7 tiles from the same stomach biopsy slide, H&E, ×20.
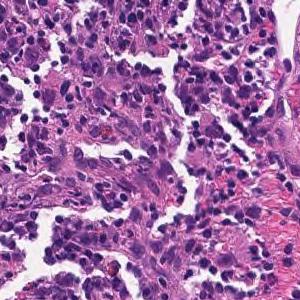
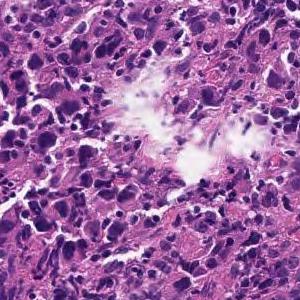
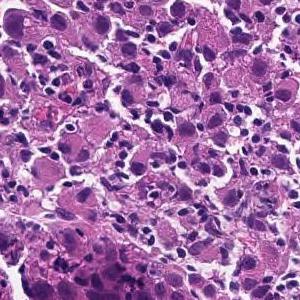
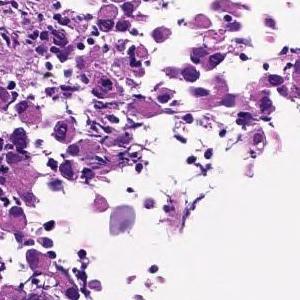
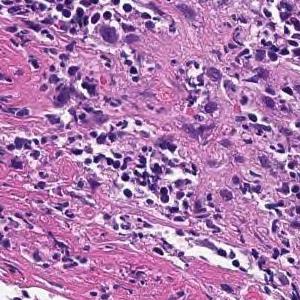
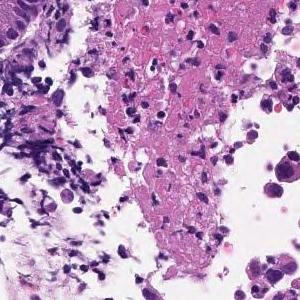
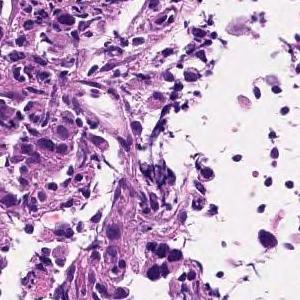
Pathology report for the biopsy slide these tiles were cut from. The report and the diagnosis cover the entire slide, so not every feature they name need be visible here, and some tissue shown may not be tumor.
The superficial epithelium shows a large sheet-like shape, and some tumor tissue infiltrates with small irregular ducts. Poorly differentiated adenocarcinoma, solid-type (poorly differentiated adenocarcinoma, solid type)
Tumor subtype: poorly differentiated adenocarcinoma, solid type (Japanese Classification of Gastric Carcinoma). The WHO 2019 equivalent is tubular adenocarcinoma, poorly differentiated.
